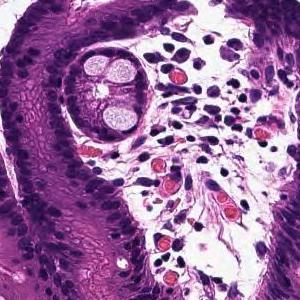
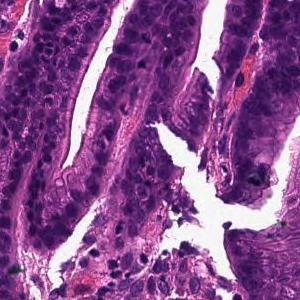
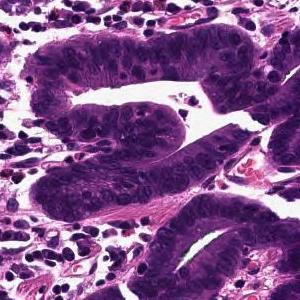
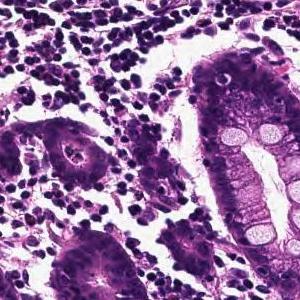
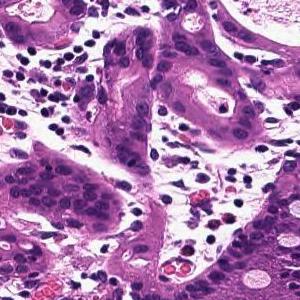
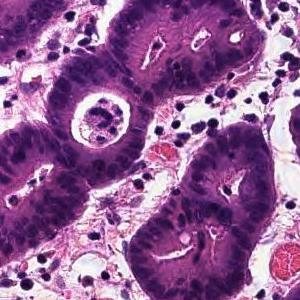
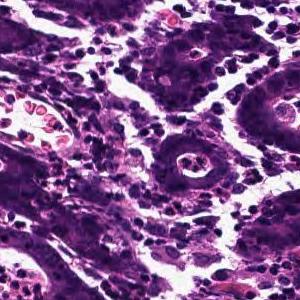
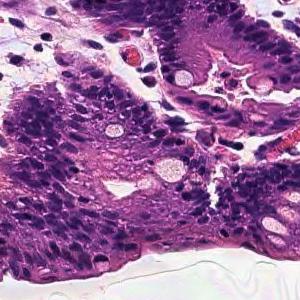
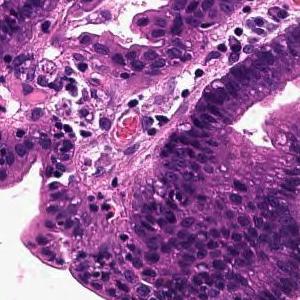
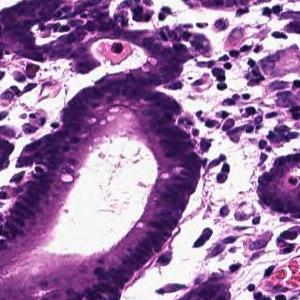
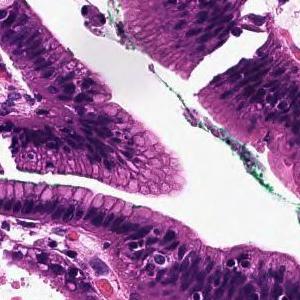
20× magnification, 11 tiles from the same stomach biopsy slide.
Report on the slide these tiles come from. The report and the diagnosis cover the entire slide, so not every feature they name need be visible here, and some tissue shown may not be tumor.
Tumor tissue that infiltrates by forming large papillary or large irregular glandular ducts is observed confined to the mucosa. Papillary adenocarcinoma
